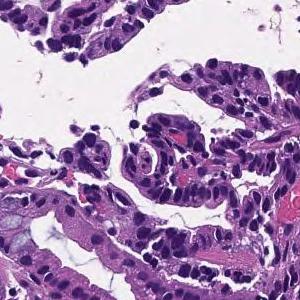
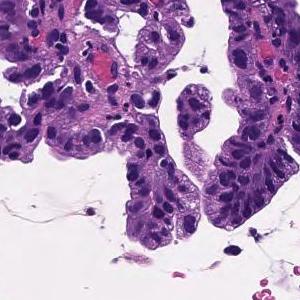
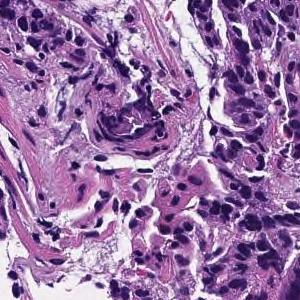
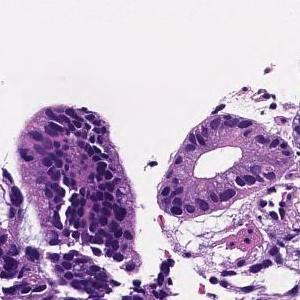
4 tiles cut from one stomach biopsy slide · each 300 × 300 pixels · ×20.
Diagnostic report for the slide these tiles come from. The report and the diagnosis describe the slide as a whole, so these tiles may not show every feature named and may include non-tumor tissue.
Tumor cells are large, highly columnar, large club-shaped nuclei, and are associated with chromatin aggregation. Papillary adenocarcinoma.
